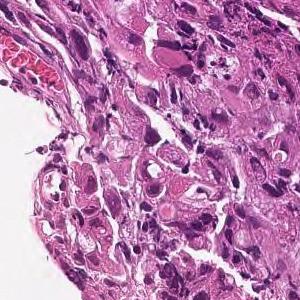
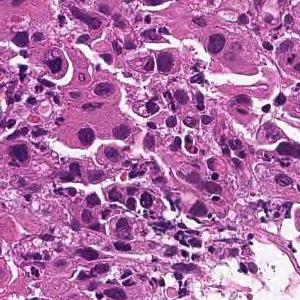
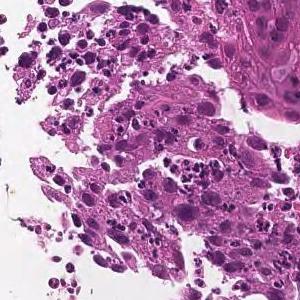
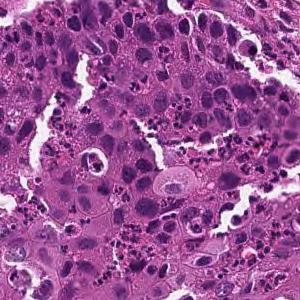
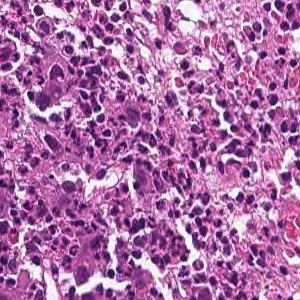
5 tiles from the same stomach biopsy slide; ×20; H&E.
The pathologist's report on the biopsy slide these tiles were taken from. What the report and the diagnosis say applies to the whole slide; these tiles may miss some of the features named and may include tissue that is not tumor.
The superficial epithelium shows a large sheet-like shape, and some tumor tissue infiltrates with small irregular ducts. Poorly differentiated adenocarcinoma, solid-type
Tumor subtype: poorly differentiated adenocarcinoma, solid type (Japanese Classification of Gastric Carcinoma). The WHO 2019 equivalent is tubular adenocarcinoma, poorly differentiated.
